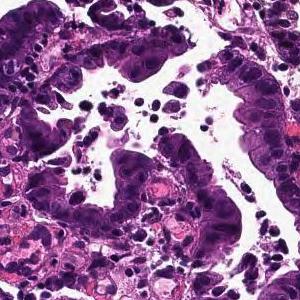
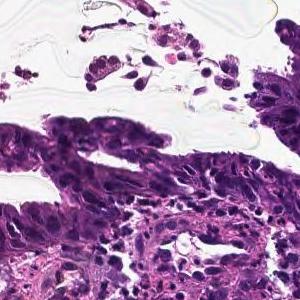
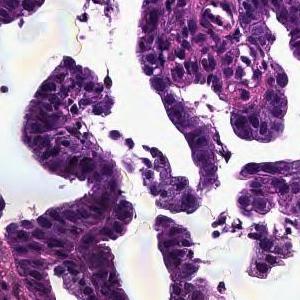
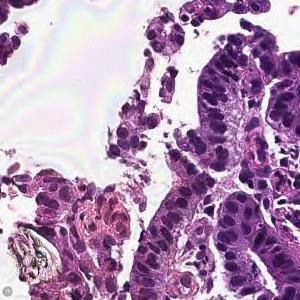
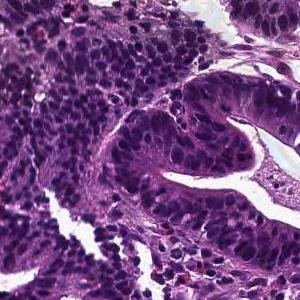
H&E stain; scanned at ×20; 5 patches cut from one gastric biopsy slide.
Diagnostic report for the slide these tiles come from. What the report and the diagnosis say applies to the whole slide; these tiles may miss some of the features named and may include tissue that is not tumor.
Tumor cells are large, highly columnar, large club-shaped nuclei, and are associated with chromatin aggregation. Papillary adenocarcinoma.
